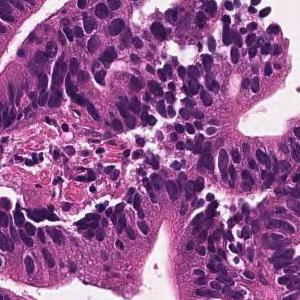
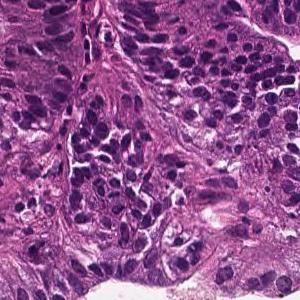
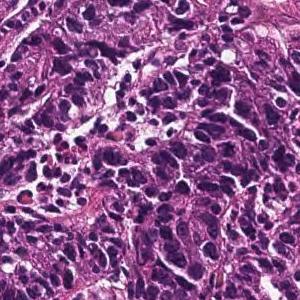
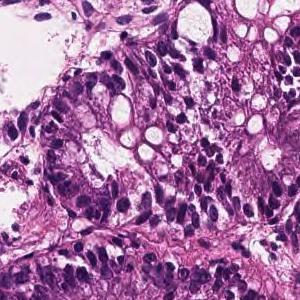
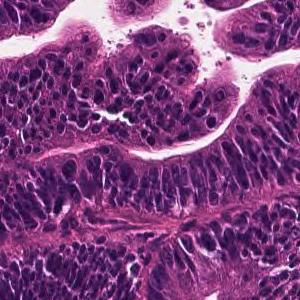
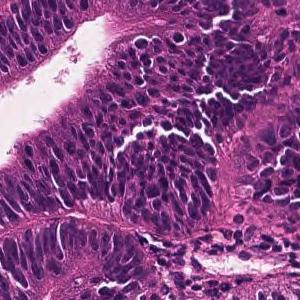
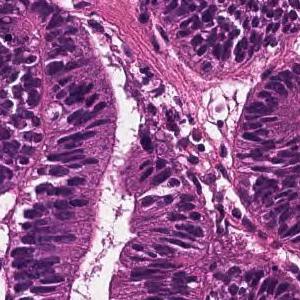
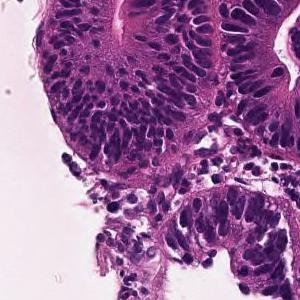
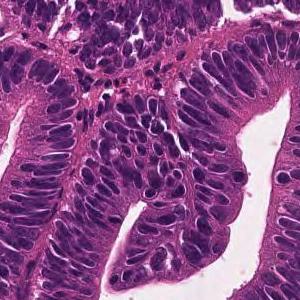
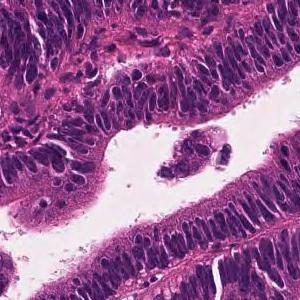
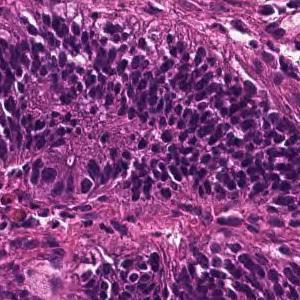
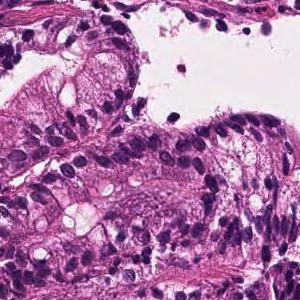
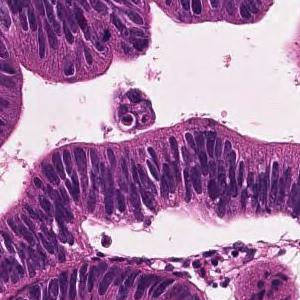
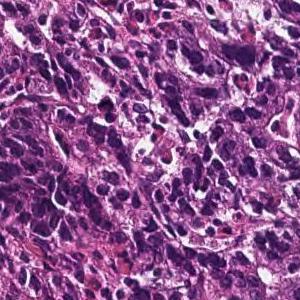
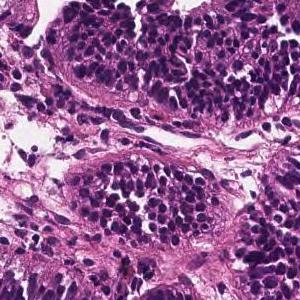
Scanned at ×20 · 15 tiles from the same stomach biopsy slide · 300×300 px each.
Report on the slide these tiles come from. What the report and the diagnosis say applies to the whole slide; these tiles may miss some of the features named and may include tissue that is not tumor.
A large irregular tubular structure is exhibited in the epithelium, and tumor tissue that partially fuses and infiltrates and proliferates is observed. Large columnar tumor cells exhibit enlarged nucleus, hyperchromatism, and mitotic figures. Well differentiated tubular adenocarcinoma
